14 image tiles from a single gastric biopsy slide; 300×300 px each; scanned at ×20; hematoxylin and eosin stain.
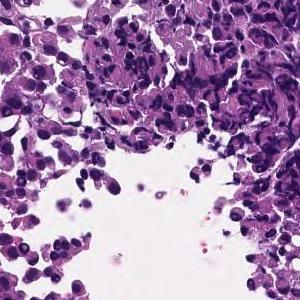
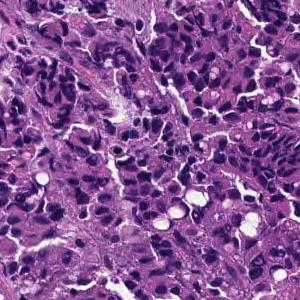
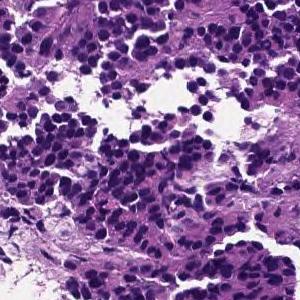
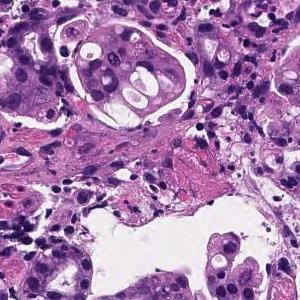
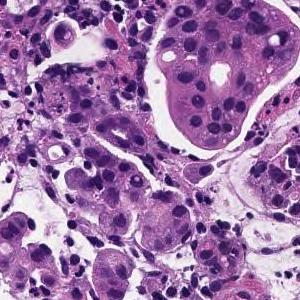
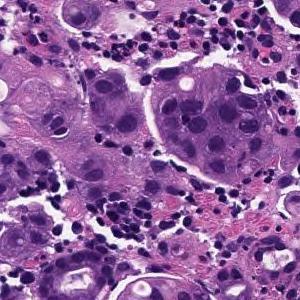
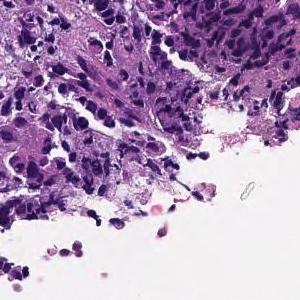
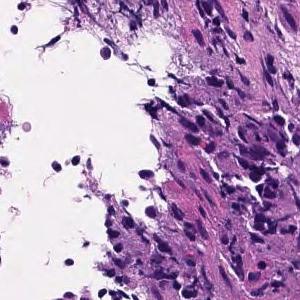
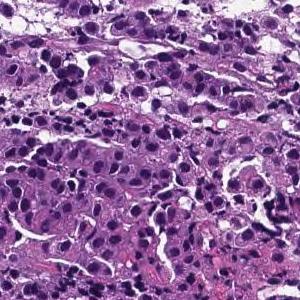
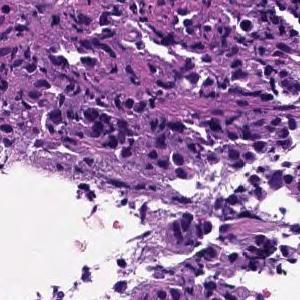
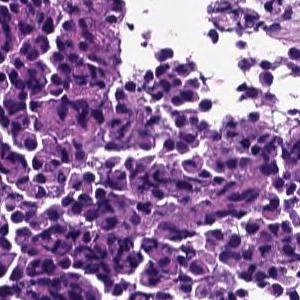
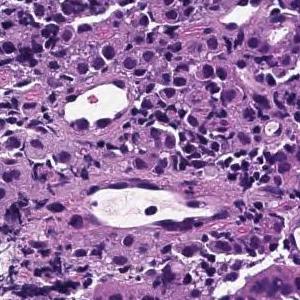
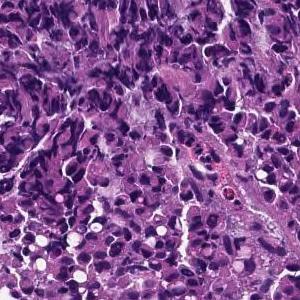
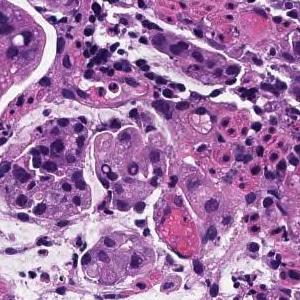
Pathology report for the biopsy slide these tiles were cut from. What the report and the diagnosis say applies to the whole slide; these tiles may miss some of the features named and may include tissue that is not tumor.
The superficial epithelium shows a large sheet-like shape, and some tumor tissue infiltrates with small irregular ducts. Poorly differentiated adenocarcinoma, solid-type
Histological subtype: Poorly differentiated adenocarcinoma, solid type. This name comes from the Japanese Classification of Gastric Carcinoma; the WHO 2019 classification calls it tubular adenocarcinoma, poorly differentiated.
